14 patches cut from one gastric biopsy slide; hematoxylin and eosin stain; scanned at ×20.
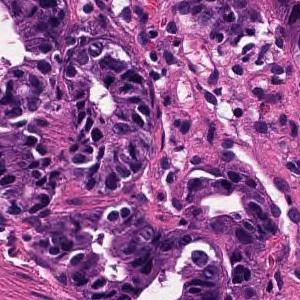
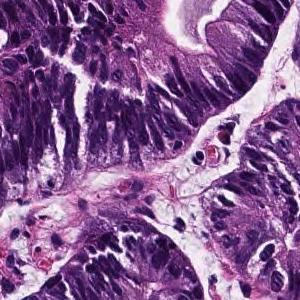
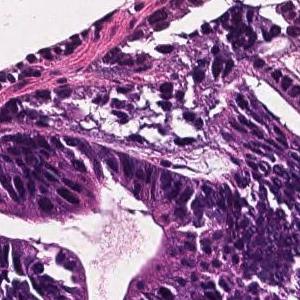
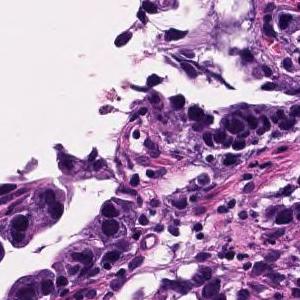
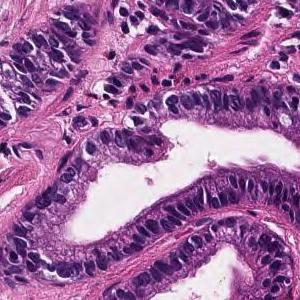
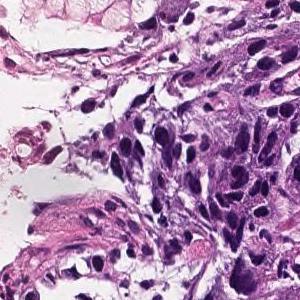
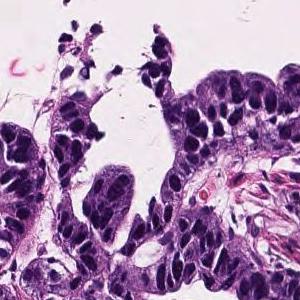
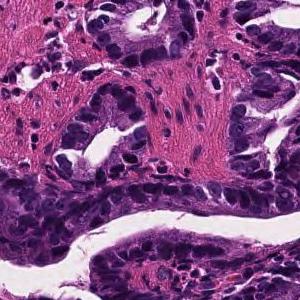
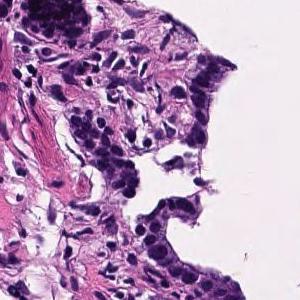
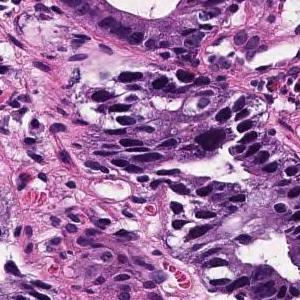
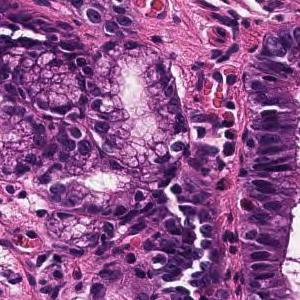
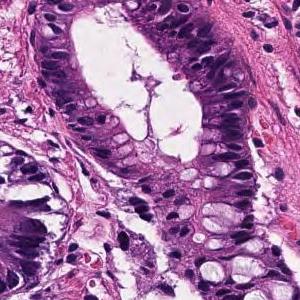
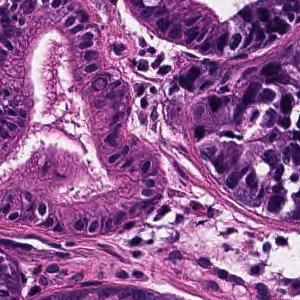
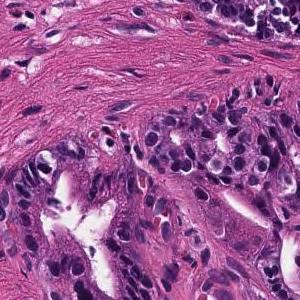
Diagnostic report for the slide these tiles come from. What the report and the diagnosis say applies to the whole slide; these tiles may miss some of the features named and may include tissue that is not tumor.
Tumor cells are large, highly columnar, large club-shaped nuclei, and are associated with chromatin aggregation. Papillary adenocarcinoma.
